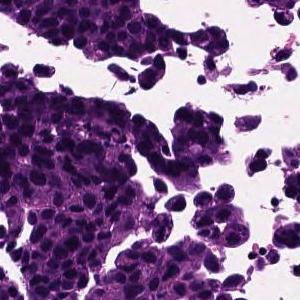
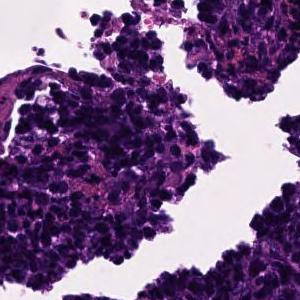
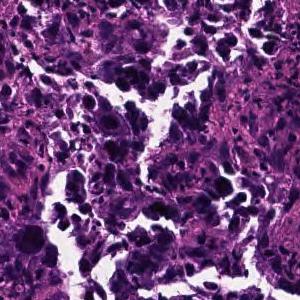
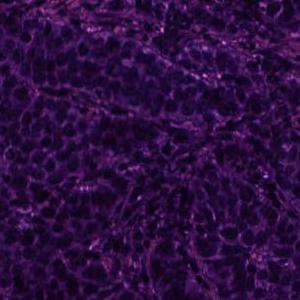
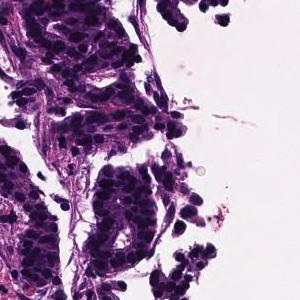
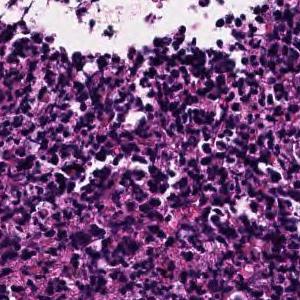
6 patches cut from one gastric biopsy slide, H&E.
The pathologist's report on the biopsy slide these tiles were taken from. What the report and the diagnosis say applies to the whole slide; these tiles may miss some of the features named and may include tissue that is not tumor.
In the superficial epithelium, tumor tissue that invades by forming medium-sized to small, irregular ducts is observed. moderately differentiated tubular adenocarcinoma.
